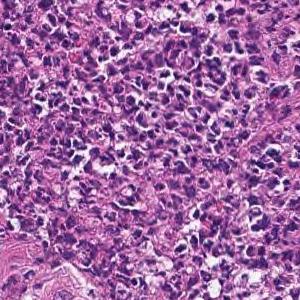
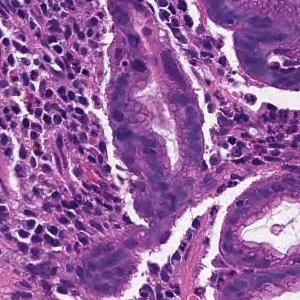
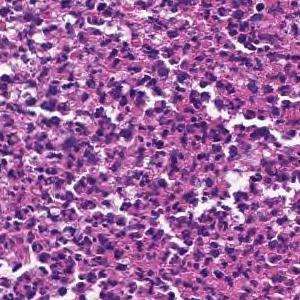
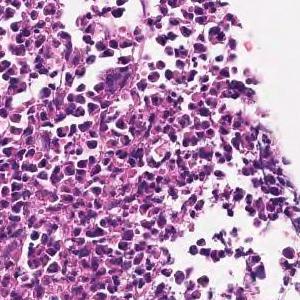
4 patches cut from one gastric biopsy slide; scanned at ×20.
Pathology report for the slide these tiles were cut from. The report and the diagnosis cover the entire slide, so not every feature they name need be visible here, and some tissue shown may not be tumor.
In the superficial epithelium, tumor tissue infiltrated by partial fusion of medium-sized to small, irregular glandular ducts is observed. moderately differentiated tubular adenocarcinoma
